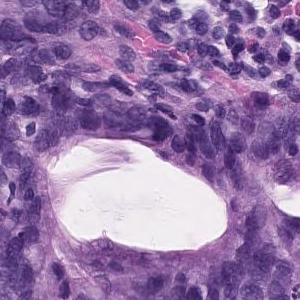
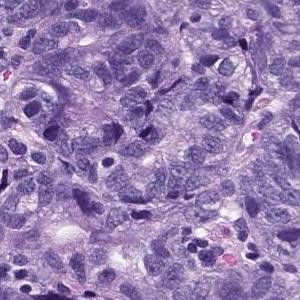
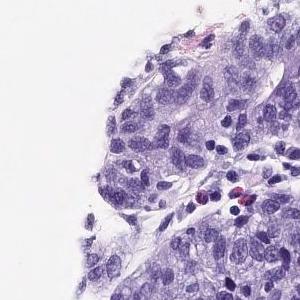
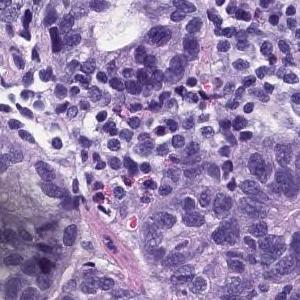
Scanned at ×20, H&E, 4 patches cut from one gastric biopsy slide, 300 × 300 pixels each.
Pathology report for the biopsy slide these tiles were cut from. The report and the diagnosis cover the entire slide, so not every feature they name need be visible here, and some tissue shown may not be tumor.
In the superficial epithelium, tumor tissue that invades by forming medium-sized to small, irregular ducts is observed. Moderately differentiated adenocarcinoma.
Subtype: Moderately differentiated tubular adenocarcinoma.
